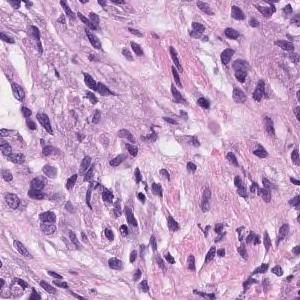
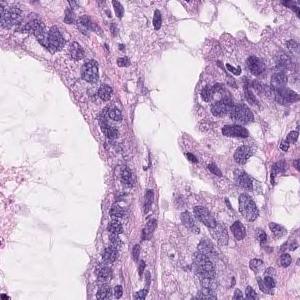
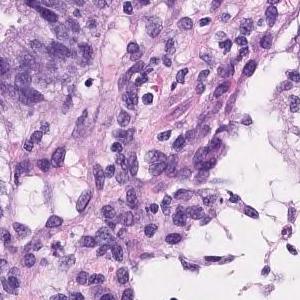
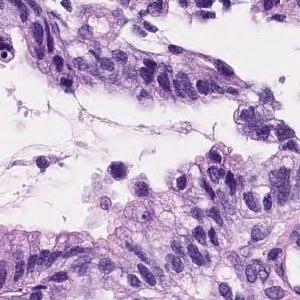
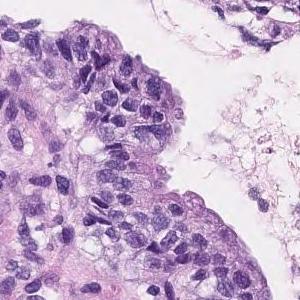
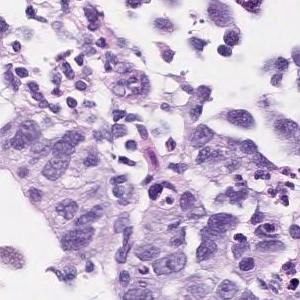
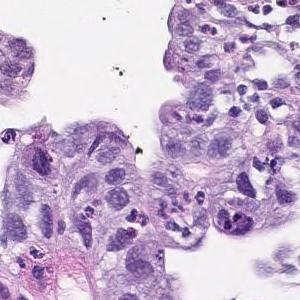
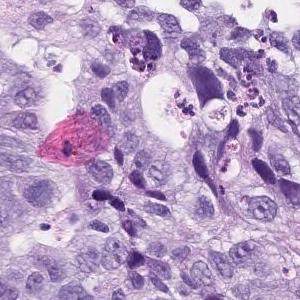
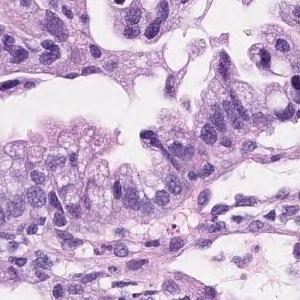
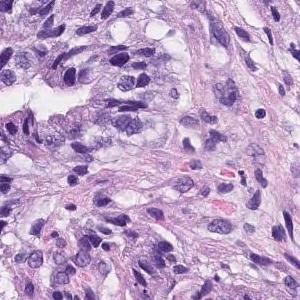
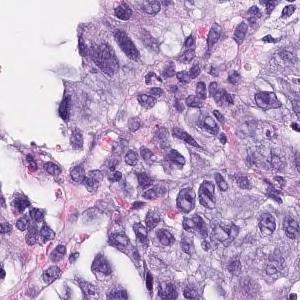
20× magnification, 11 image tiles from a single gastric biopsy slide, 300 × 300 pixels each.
Pathology report for the biopsy slide these tiles were cut from. The report describes the whole slide, diagnosis included: not every finding it names need appear in these tiles, which may also show non-tumor tissue.
Tumor cells are large, highly columnar, large club-shaped nuclei, and are associated with chromatin aggregation. Papillary adenocarcinoma.
